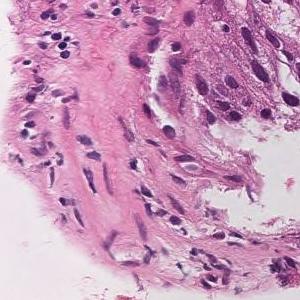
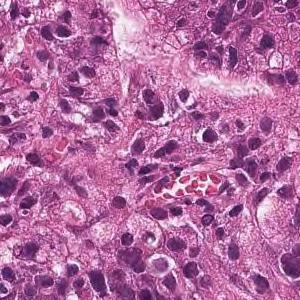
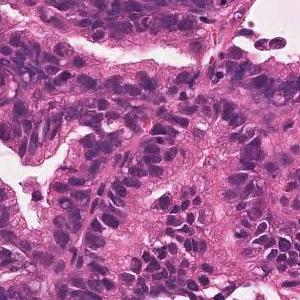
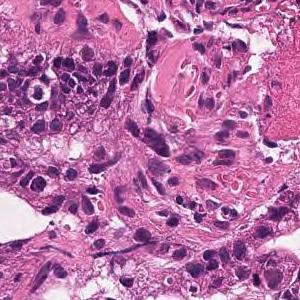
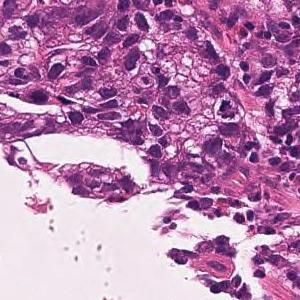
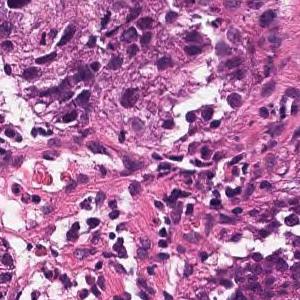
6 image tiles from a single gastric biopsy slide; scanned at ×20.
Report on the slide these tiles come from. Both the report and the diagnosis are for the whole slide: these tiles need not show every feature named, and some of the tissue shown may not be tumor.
On the superficial epithelium, tumor tissue consisting of large, irregular glandular ducts partially fused and infiltrated is observed. Well to moderately differentiated tubular adenocarcinoma (well differentiated tubular adenocarcinoma, moderately differentiated tubular adenocarcinoma)
Tumor subtype: well to moderately differentiated tubular adenocarcinoma.
